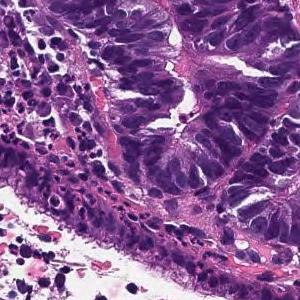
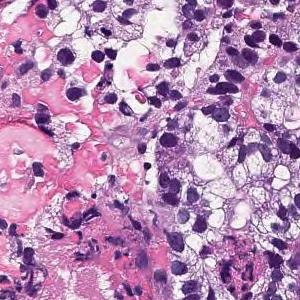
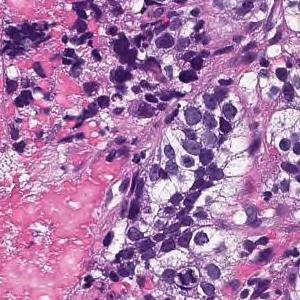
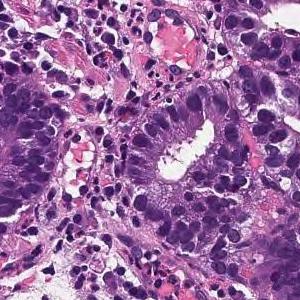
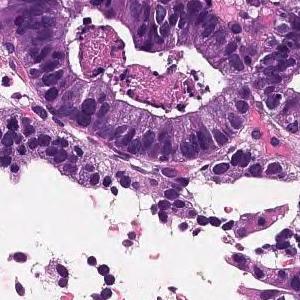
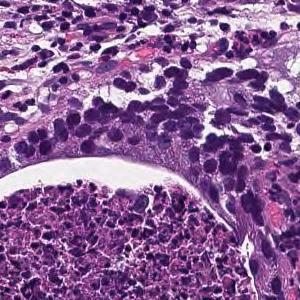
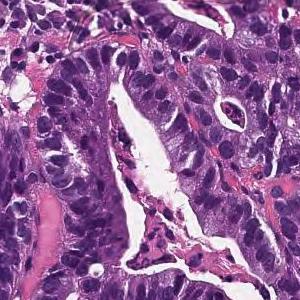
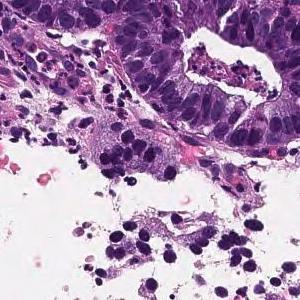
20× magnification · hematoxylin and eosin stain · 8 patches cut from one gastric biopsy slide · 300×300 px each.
Diagnostic report for the slide these tiles come from. The report and the diagnosis describe the slide as a whole, so these tiles may not show every feature named and may include non-tumor tissue.
From the superficial epithelium to the muscularis mucosae, tumor tissue consisting of medium-sized and irregular glandular ducts infiltrating is observed. Well differentiated tubular adenocarcinoma
